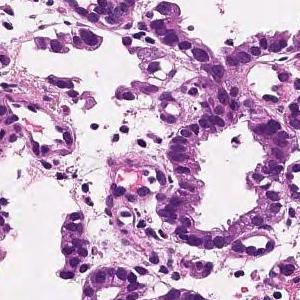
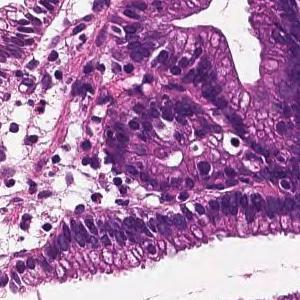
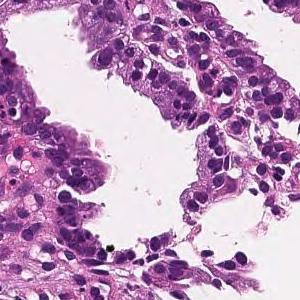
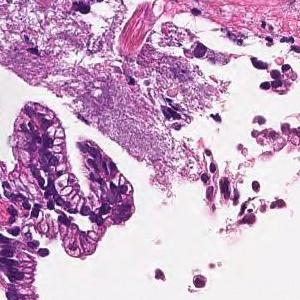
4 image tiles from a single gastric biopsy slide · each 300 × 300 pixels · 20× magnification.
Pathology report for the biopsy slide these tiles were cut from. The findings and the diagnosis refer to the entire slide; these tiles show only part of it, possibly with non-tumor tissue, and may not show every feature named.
On the superficial epithelium, tumor tissue that infiltrates by forming medium-sized papillary or small irregular ducts is observed. Papillary adenocarcinoma
